6 tiles cut from one stomach biopsy slide; 300 × 300 pixels each; H&E stain.
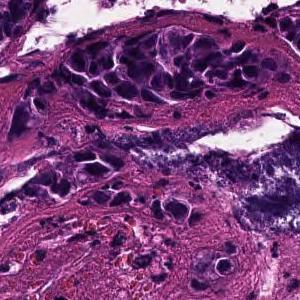
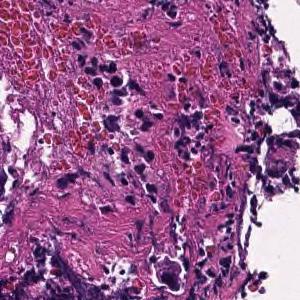
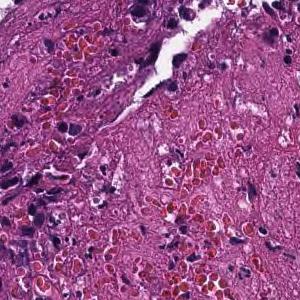
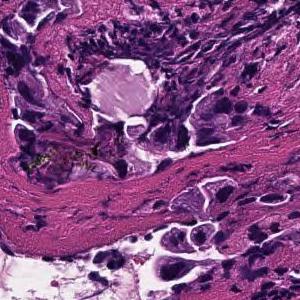
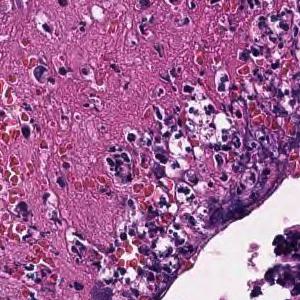
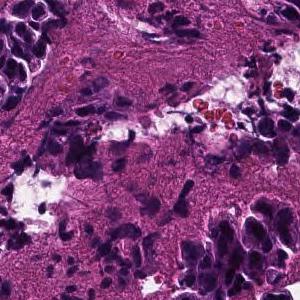
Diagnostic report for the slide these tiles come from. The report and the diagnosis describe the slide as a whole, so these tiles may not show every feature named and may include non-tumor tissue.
Tumor tissue consisting of cord-like or small, irregular glandular ducts fused and infiltrated is observed in the superficial epithelium. Poorly differentiated adenocarcinoma, non-solid type
"Non-solid type" is a category of the Japanese Classification of Gastric Carcinoma.
